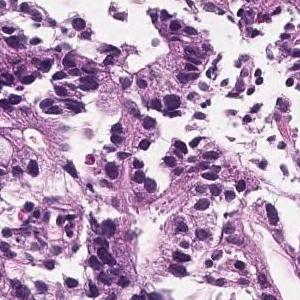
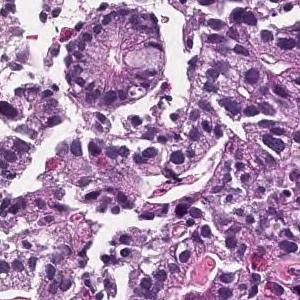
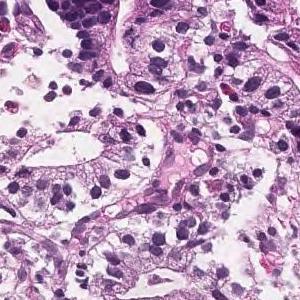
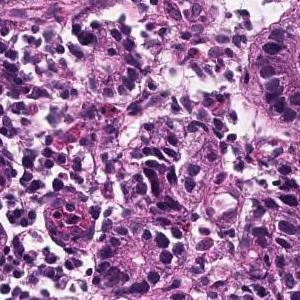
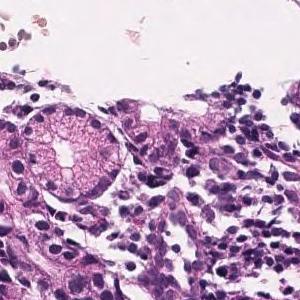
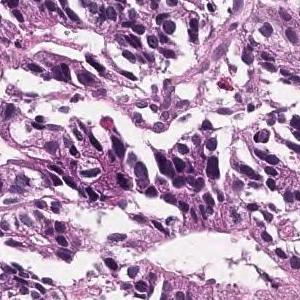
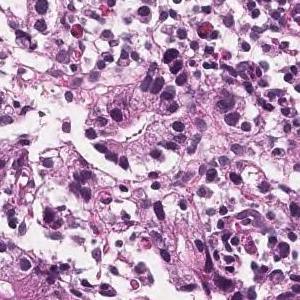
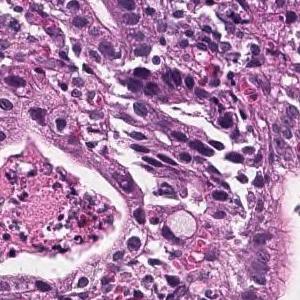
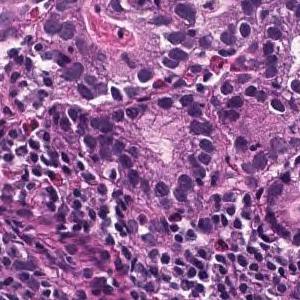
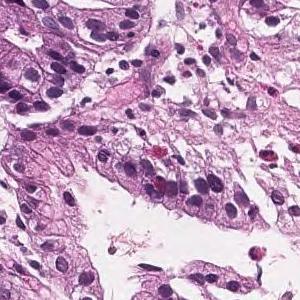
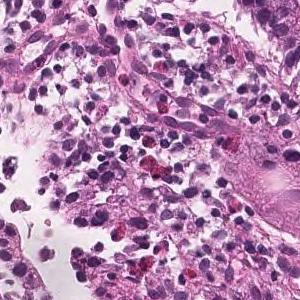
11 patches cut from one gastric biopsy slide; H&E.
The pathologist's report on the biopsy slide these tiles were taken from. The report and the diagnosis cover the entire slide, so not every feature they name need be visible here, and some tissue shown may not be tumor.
Tumor tissue that forms medium-sized, irregular glandular ducts and is papillary and proliferate is observed confined to the mucosal epithelium. moderately differentiated tubular adenocarcinoma.
